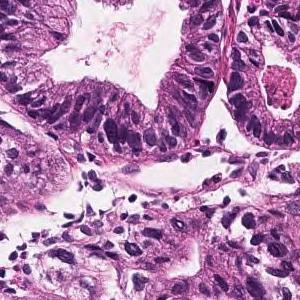
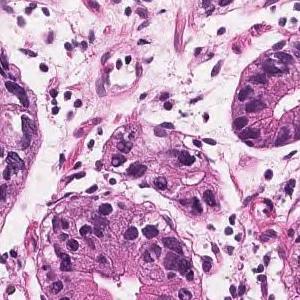
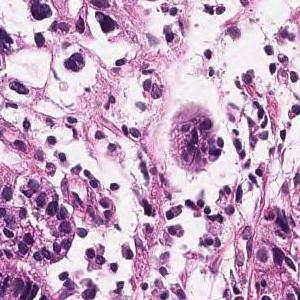
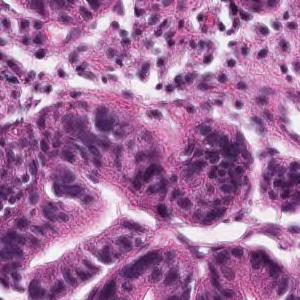
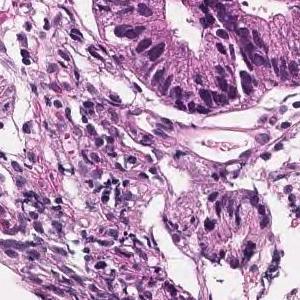
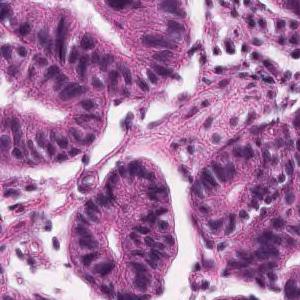
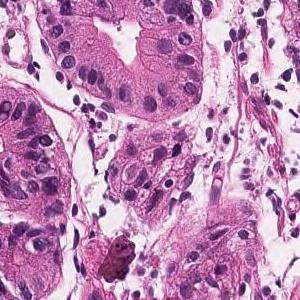
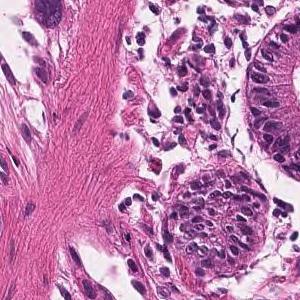
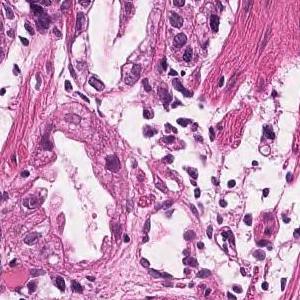
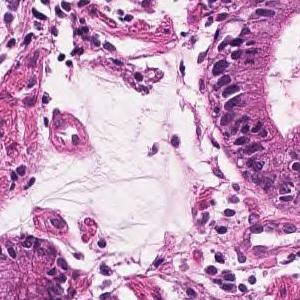
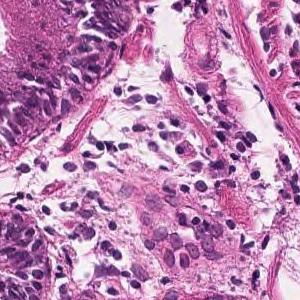
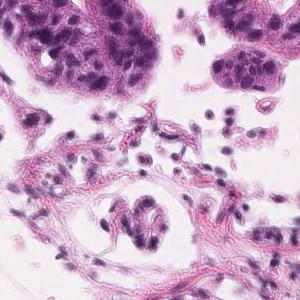
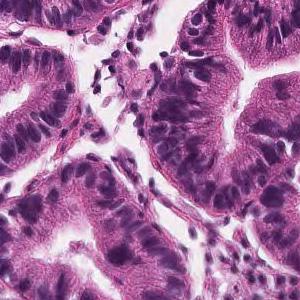
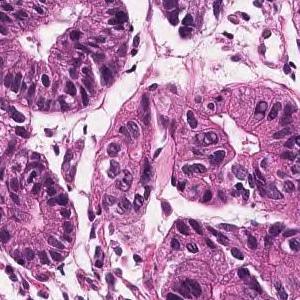
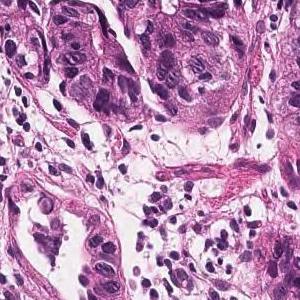
15 tiles cut from one stomach biopsy slide; 300 × 300 pixels each; H&E stain; scanned at ×20.
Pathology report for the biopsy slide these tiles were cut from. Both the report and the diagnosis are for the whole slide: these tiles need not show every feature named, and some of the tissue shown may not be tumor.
On the superficial epithelium, tumor tissue that infiltrates by forming medium-sized papillary or small irregular ducts is observed. Papillary adenocarcinoma
